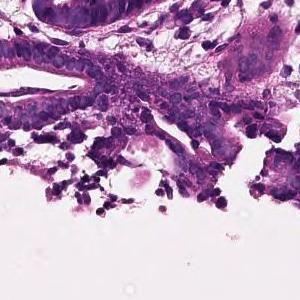
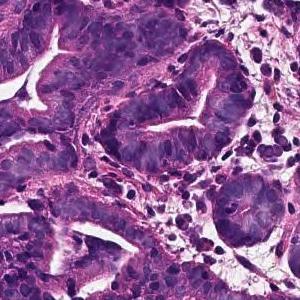
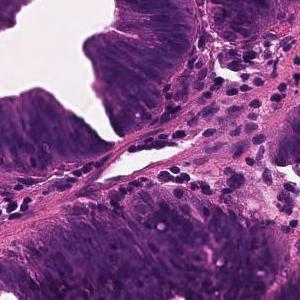
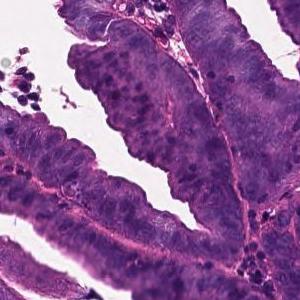
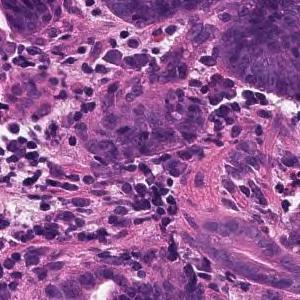
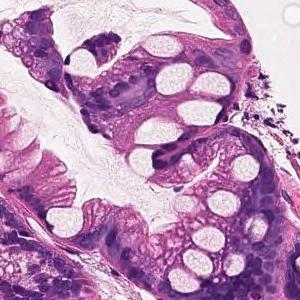
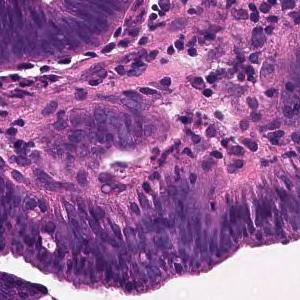
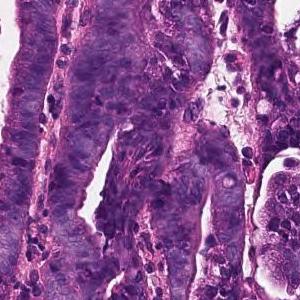
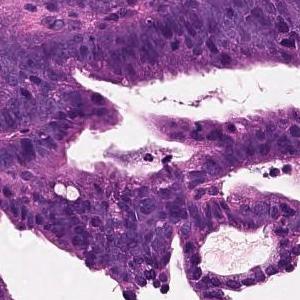
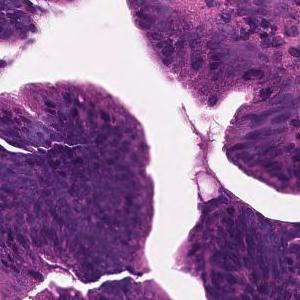
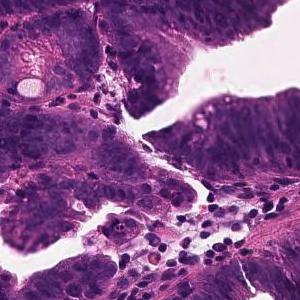
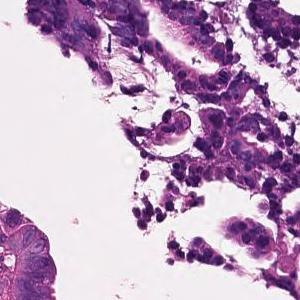
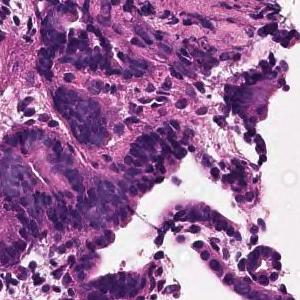
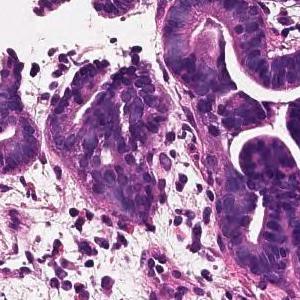
H&E · scanned at ×20 · 14 patches cut from one gastric biopsy slide · 300 × 300 pixels each.
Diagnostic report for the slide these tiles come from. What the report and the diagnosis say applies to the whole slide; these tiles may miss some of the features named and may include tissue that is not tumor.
Tumor cells are large, highly columnar, large club-shaped nuclei, and are associated with chromatin aggregation. Papillary adenocarcinoma.
